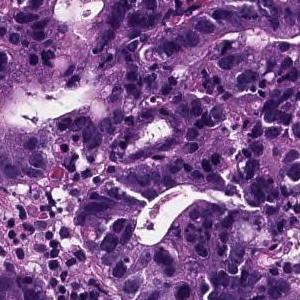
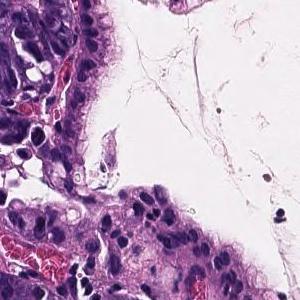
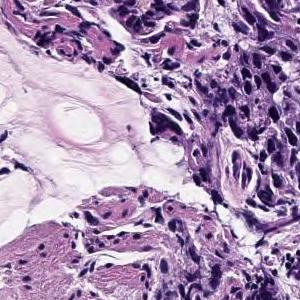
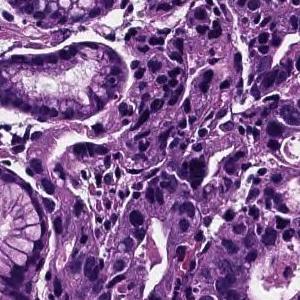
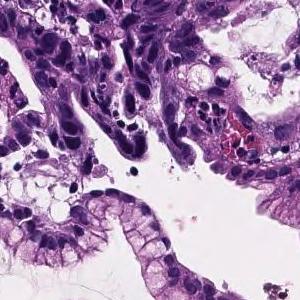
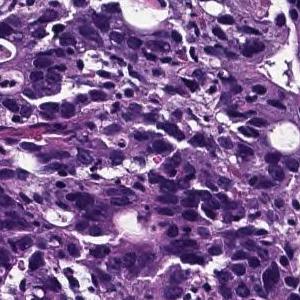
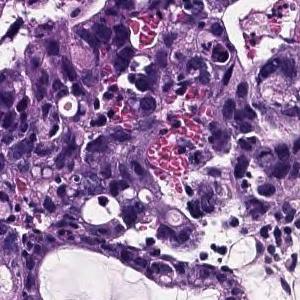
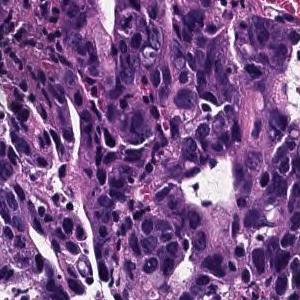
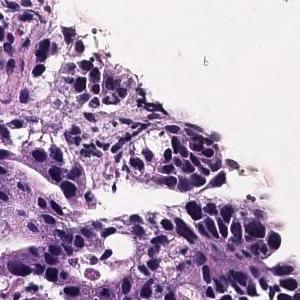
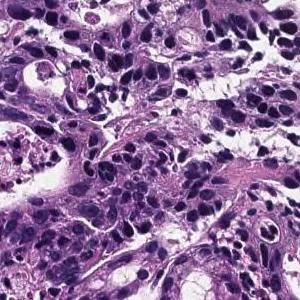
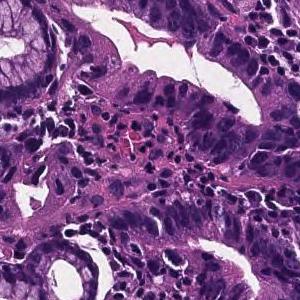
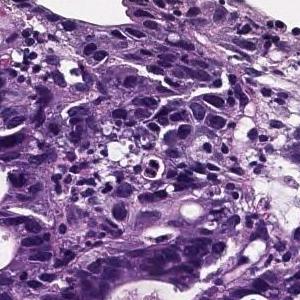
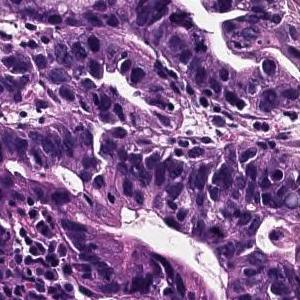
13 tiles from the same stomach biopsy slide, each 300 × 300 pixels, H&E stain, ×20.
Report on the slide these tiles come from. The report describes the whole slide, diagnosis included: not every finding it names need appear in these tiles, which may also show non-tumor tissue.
In the superficial epithelium, tumor tissue that invades by forming medium-sized to small, irregular ducts is observed. moderately differentiated tubular adenocarcinoma.
